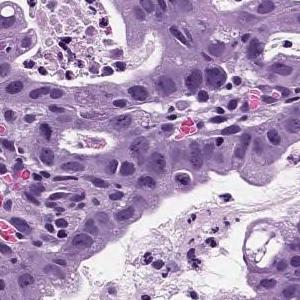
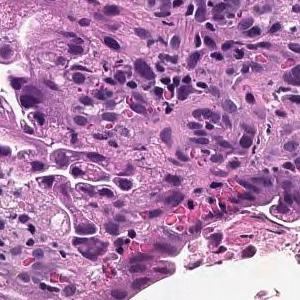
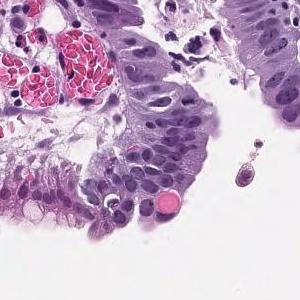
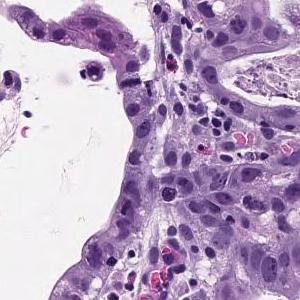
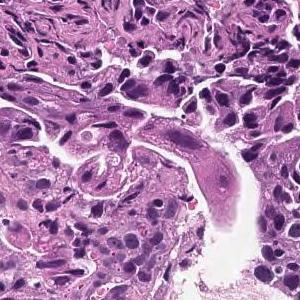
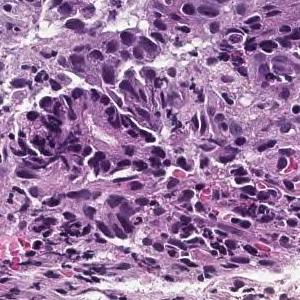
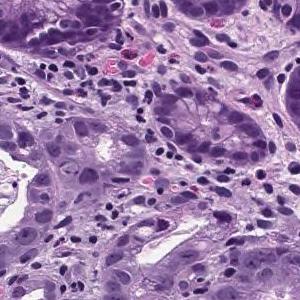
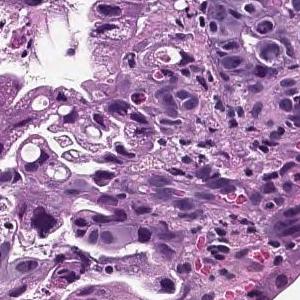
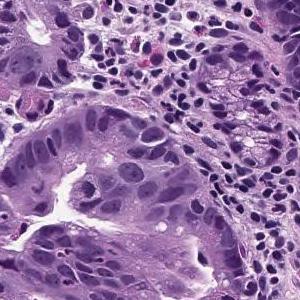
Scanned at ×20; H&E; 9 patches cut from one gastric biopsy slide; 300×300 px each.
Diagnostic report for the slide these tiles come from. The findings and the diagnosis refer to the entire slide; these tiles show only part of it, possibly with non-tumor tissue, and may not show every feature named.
Tumor cells are large, highly columnar, large club-shaped nuclei, and are associated with chromatin aggregation. Papillary adenocarcinoma.
